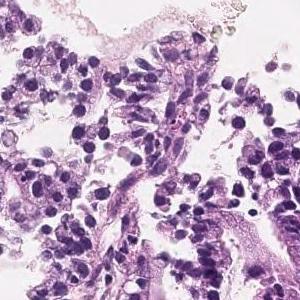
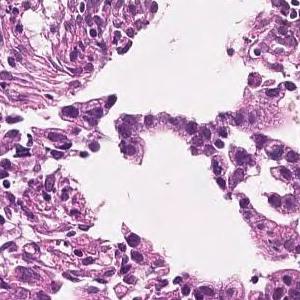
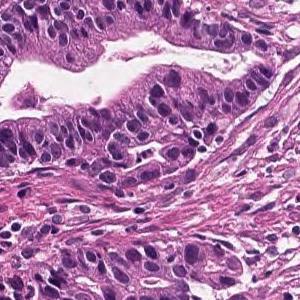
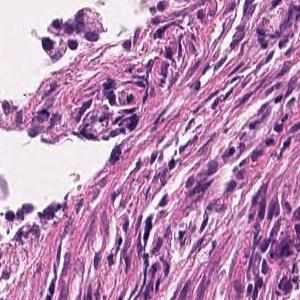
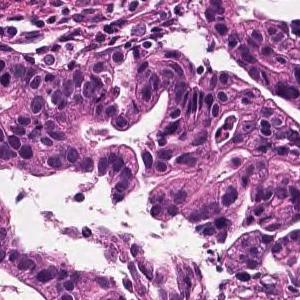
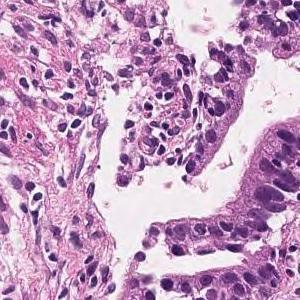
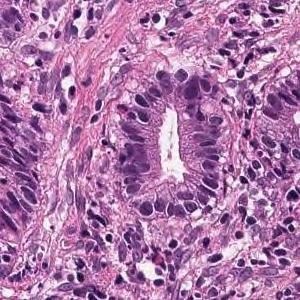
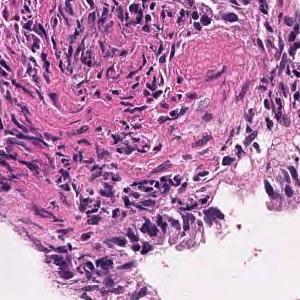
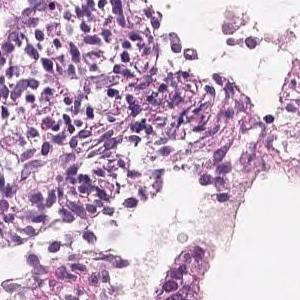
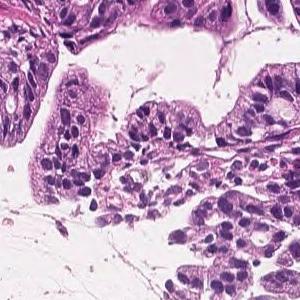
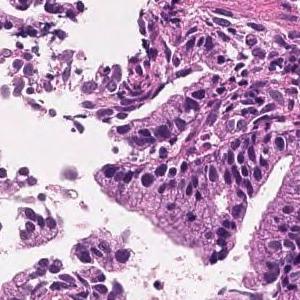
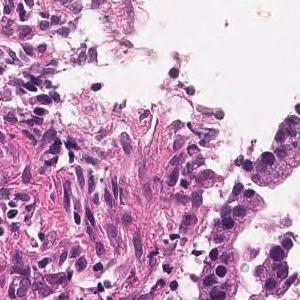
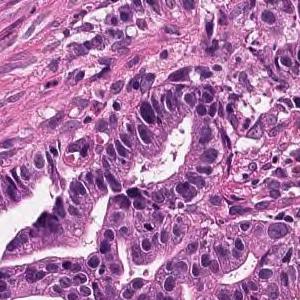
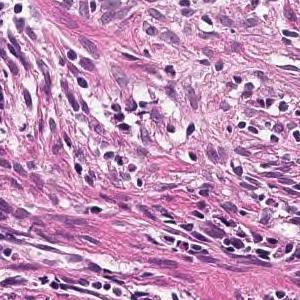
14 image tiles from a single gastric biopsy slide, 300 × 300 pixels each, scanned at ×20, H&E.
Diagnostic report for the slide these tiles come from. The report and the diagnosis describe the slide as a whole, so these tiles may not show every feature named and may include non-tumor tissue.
Tumor cells are large, highly columnar, large club-shaped nuclei, and are associated with chromatin aggregation. Papillary adenocarcinoma.
